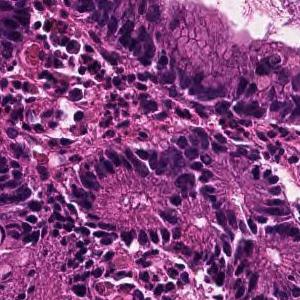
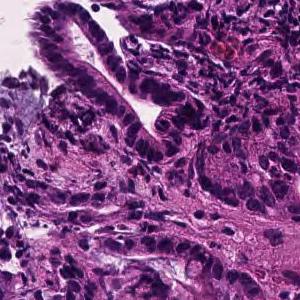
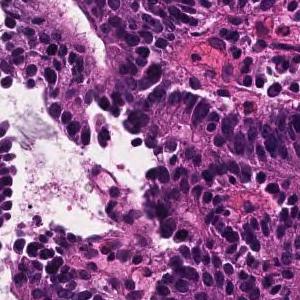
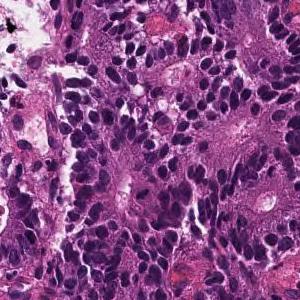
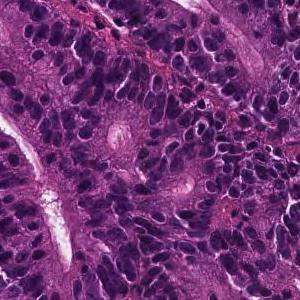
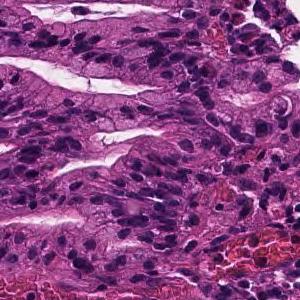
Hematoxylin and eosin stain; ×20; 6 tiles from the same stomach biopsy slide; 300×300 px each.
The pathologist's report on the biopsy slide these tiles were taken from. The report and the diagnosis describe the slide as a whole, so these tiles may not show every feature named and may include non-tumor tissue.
In the superficial epithelium, tumor tissue that invades by forming medium-sized to small, irregular ducts is observed. moderately differentiated tubular adenocarcinoma.
